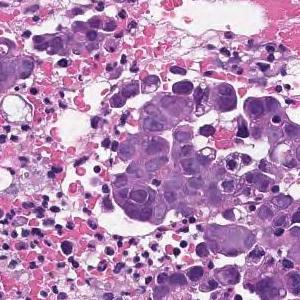
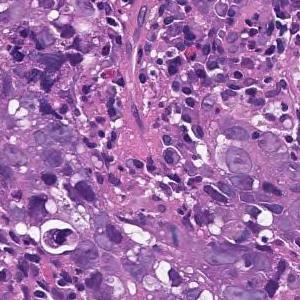
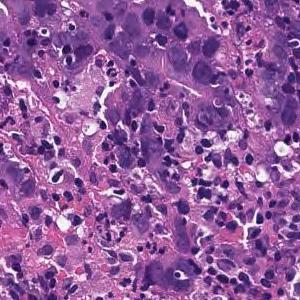
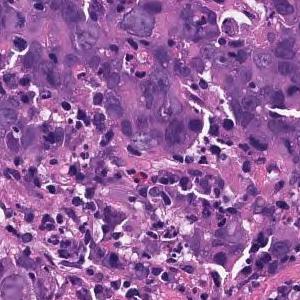
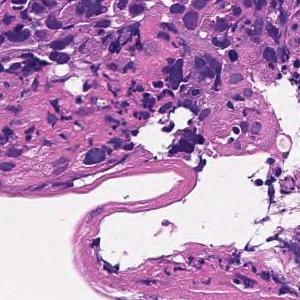
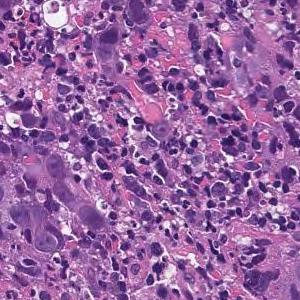
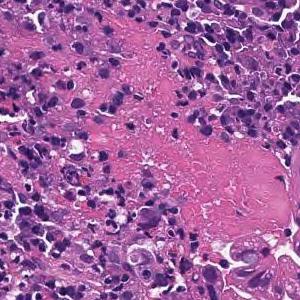
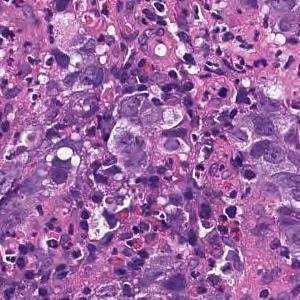
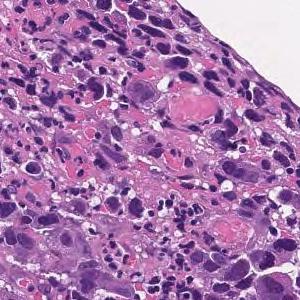
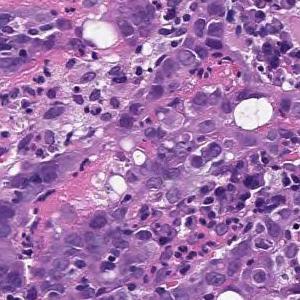
10 tiles from the same stomach biopsy slide.
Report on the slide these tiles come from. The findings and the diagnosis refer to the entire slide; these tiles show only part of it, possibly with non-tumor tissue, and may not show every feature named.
Tumor tissue consisting of cord-like or small, irregular glandular ducts fused and infiltrated is observed in the superficial epithelium. Poorly differentiated adenocarcinoma, non-solid type
The non-solid type named here is a Japanese Classification of Gastric Carcinoma category.
